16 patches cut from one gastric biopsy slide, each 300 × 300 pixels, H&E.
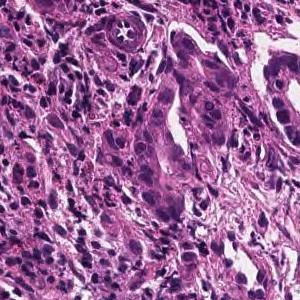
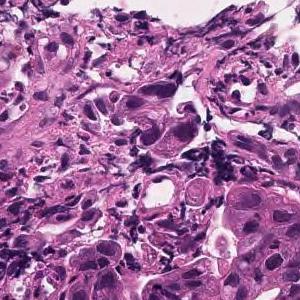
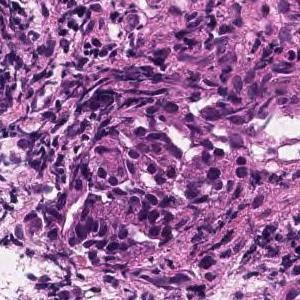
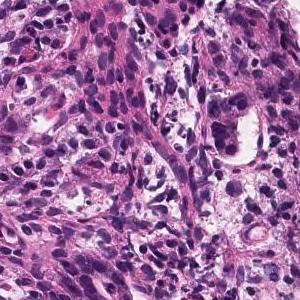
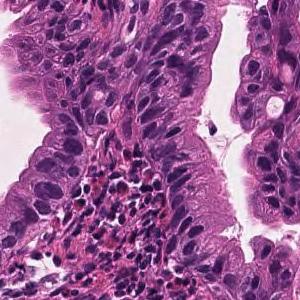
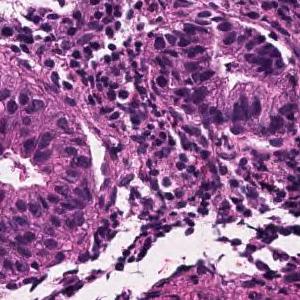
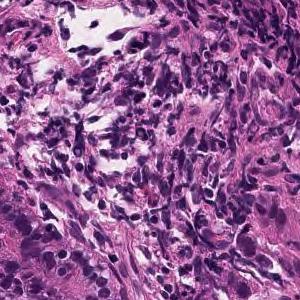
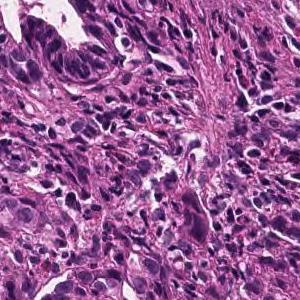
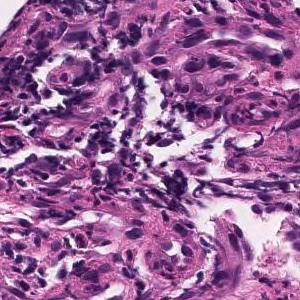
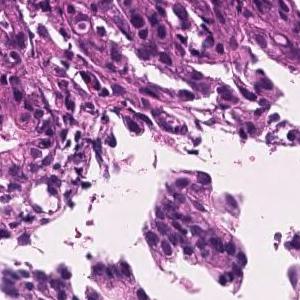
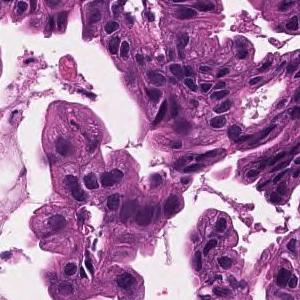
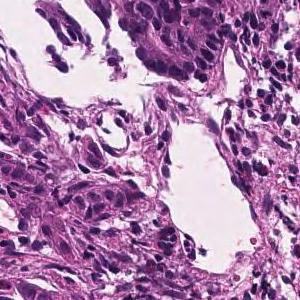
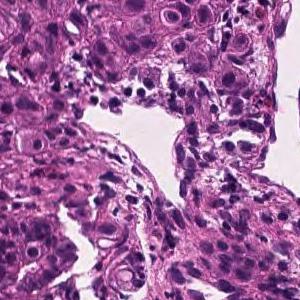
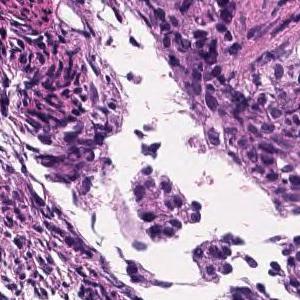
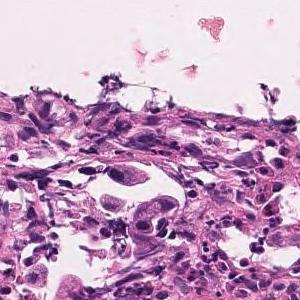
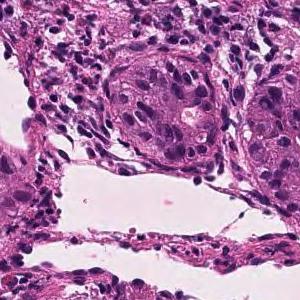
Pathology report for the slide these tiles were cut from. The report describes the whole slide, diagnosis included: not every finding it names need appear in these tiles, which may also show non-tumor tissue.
Tumor tissue consisting of medium-sized, cord-like or irregular glandular infiltration is observed in the superficial epithelium. Poorly differentiated adenocarcinoma, non-solid type or moderately differentiated tubular adenocarcinoma
"Non-solid type" is a category of the Japanese Classification of Gastric Carcinoma.
